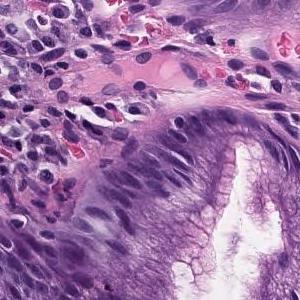
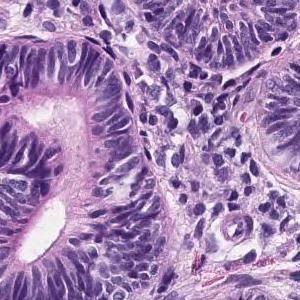
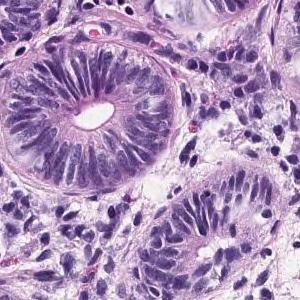
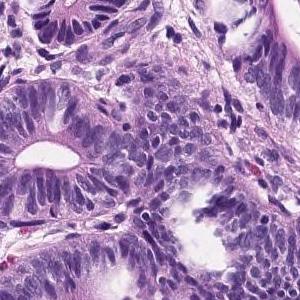
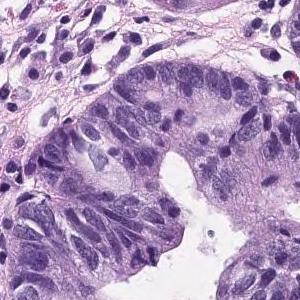
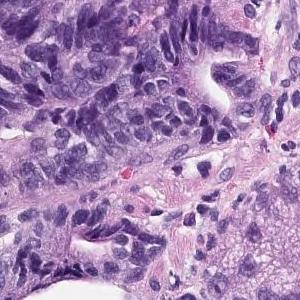
20× magnification; H&E; 6 image tiles from a single gastric biopsy slide.
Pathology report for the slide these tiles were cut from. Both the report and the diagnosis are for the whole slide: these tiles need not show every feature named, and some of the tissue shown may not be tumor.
On the superficial epithelium, tumor tissue consisting of medium-sized to large-sized, round or irregular glandular duct growth images is observed. Well differentiated adenocarcinoma.
Tumor subtype: well differentiated tubular adenocarcinoma.
